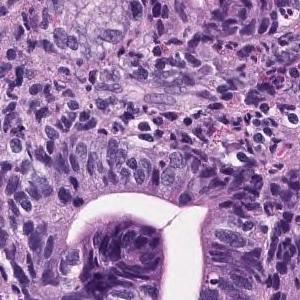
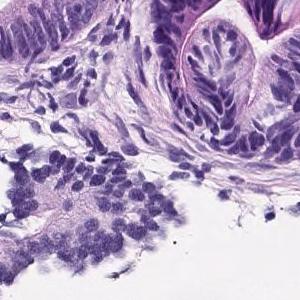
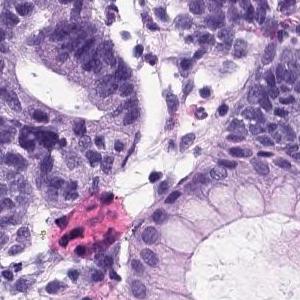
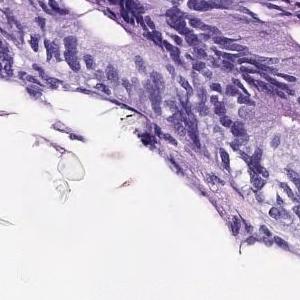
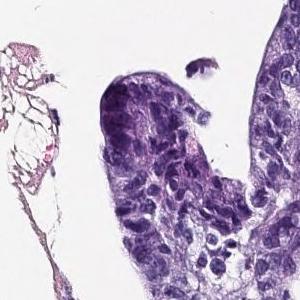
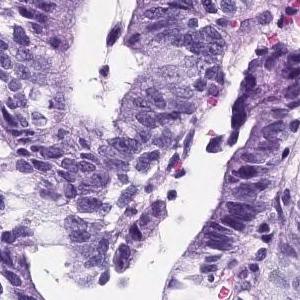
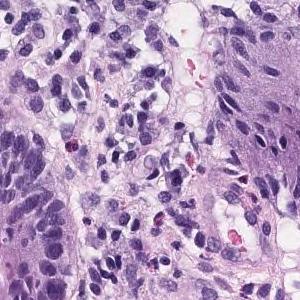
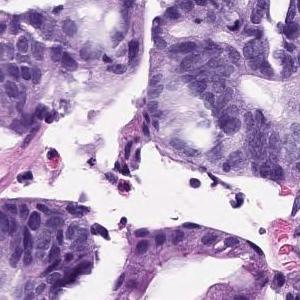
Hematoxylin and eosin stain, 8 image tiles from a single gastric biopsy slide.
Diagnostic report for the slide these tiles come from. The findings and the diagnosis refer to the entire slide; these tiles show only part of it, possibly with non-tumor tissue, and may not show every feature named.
On the superficial epithelium, tumor tissue consisting of medium-sized to large-sized, round or irregular glandular duct growth images is observed. Well differentiated adenocarcinoma.
Histologic type: Well differentiated tubular adenocarcinoma.
